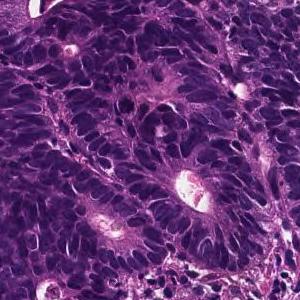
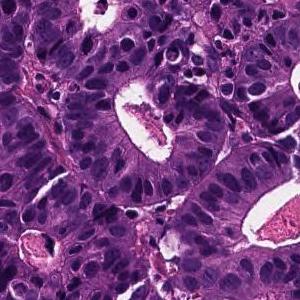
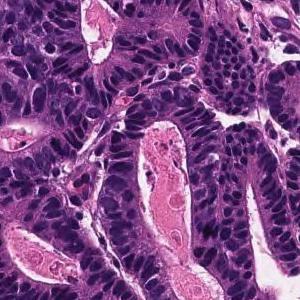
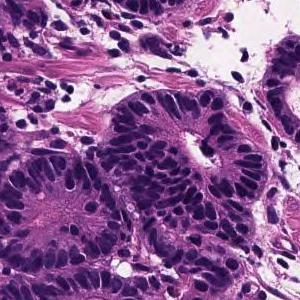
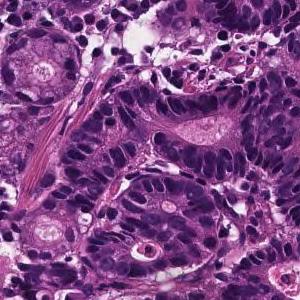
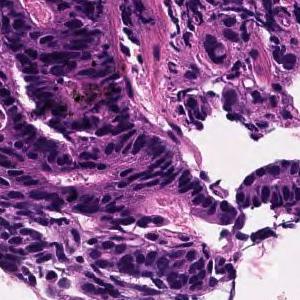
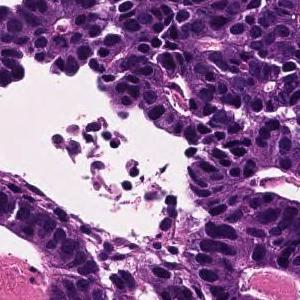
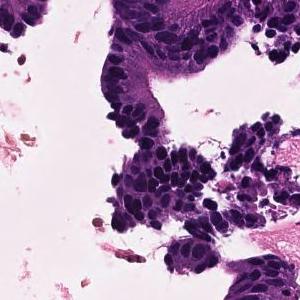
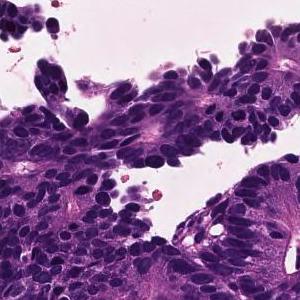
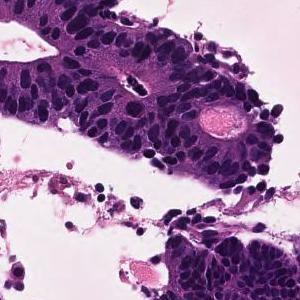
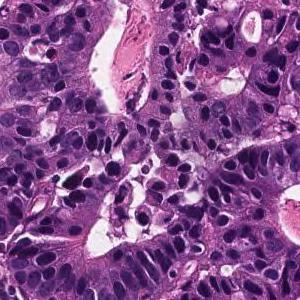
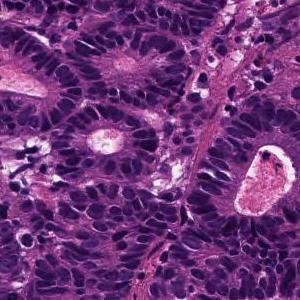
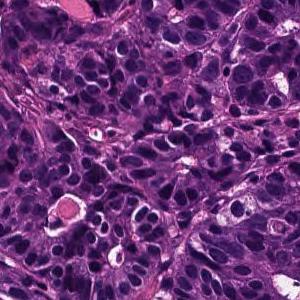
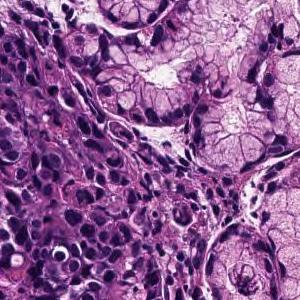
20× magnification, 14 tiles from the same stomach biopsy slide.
The pathologist's report on the biopsy slide these tiles were taken from. The report and the diagnosis cover the entire slide, so not every feature they name need be visible here, and some tissue shown may not be tumor.
In the superficial epithelium, tumor tissue that invades by forming medium-sized to small, irregular ducts is observed. moderately differentiated tubular adenocarcinoma.
